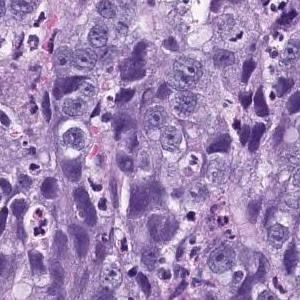
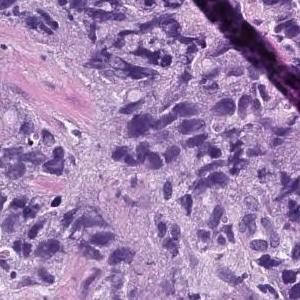
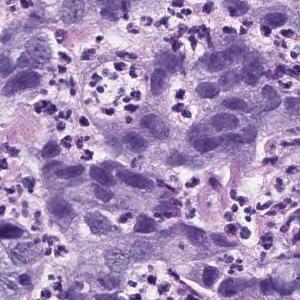
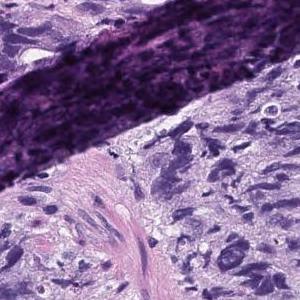
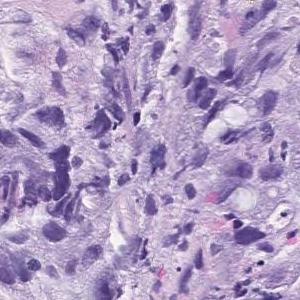
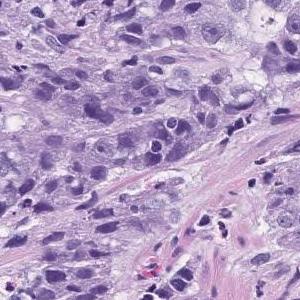
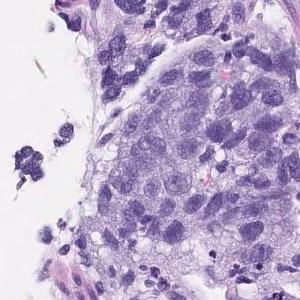
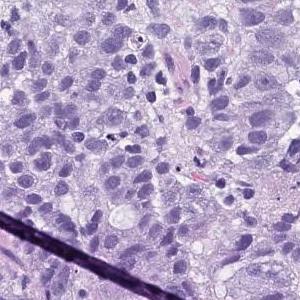
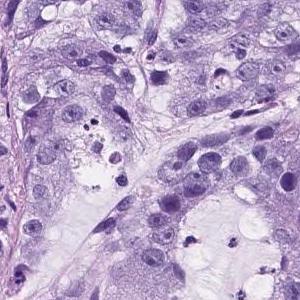
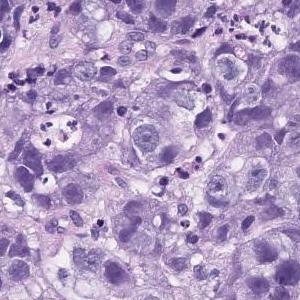
10 patches cut from one gastric biopsy slide; H&E.
Report on the slide these tiles come from. The report and the diagnosis cover the entire slide, so not every feature they name need be visible here, and some tissue shown may not be tumor.
Atypical l cells with atypical nuclei forming solid vesicles or small irregular atypical ducts that proliferate in a complex manner. poorly differentiated adenocarcinoma, solid type, moderately differentiated tubular adenocarcinoma
"Solid type" is a category of the Japanese Classification of Gastric Carcinoma; in the WHO 2019 classification it is tubular adenocarcinoma, poorly differentiated.
